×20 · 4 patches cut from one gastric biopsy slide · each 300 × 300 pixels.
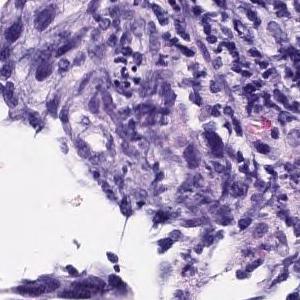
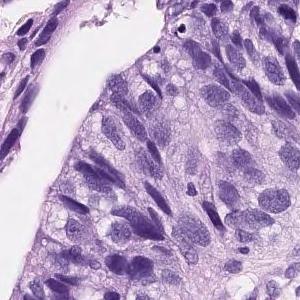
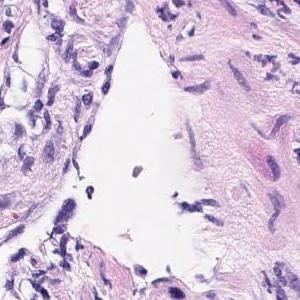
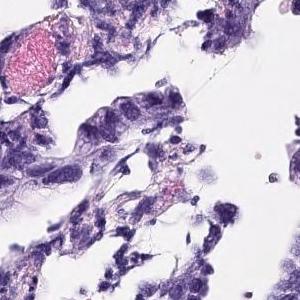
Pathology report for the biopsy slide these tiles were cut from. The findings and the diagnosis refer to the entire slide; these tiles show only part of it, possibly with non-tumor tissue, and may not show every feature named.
On the superficial epithelium, tumor tissue consisting of medium to small irregular tubules partially fused and proliferated is observed. moderately differentiated tubular adenocarcinoma
